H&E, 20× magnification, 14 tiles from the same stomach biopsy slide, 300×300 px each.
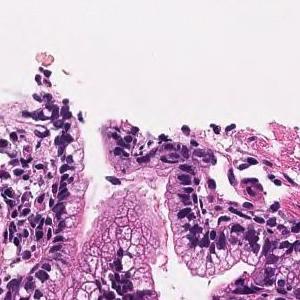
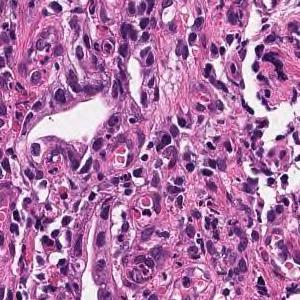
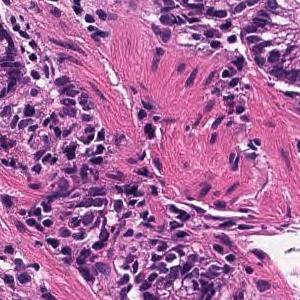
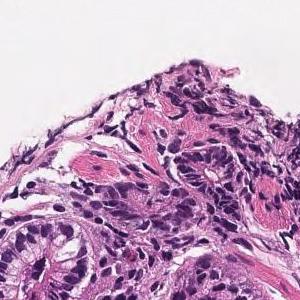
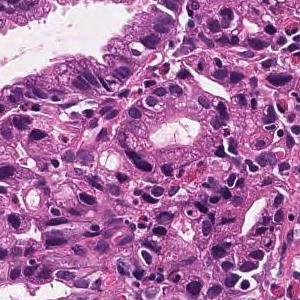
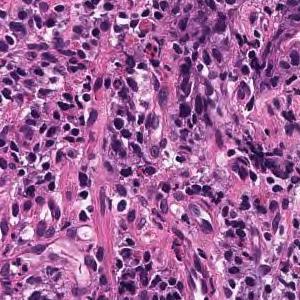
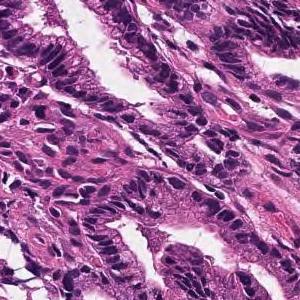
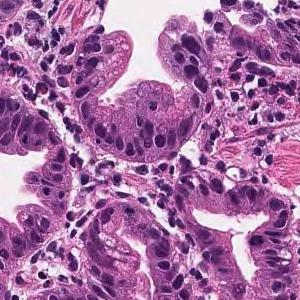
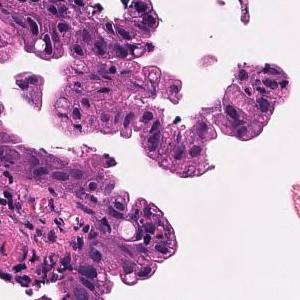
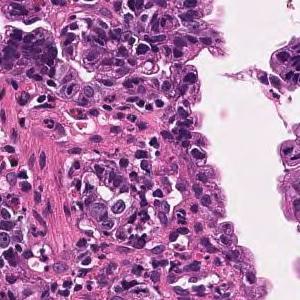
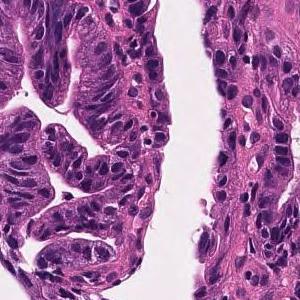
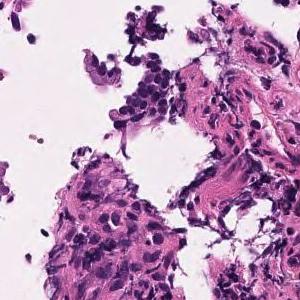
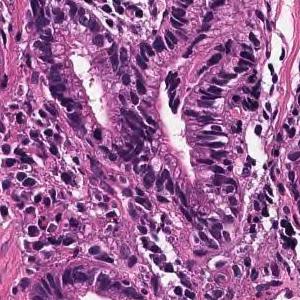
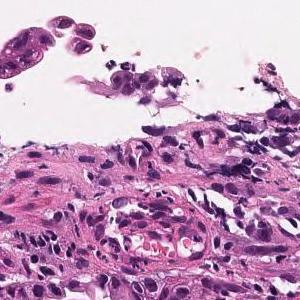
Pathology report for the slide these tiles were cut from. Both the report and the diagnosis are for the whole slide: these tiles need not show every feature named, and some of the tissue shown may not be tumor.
Tumor tissue in which medium to small irregular ducts infiltrate and proliferate in the submucosa can be seen in the epithelium. Well differentiated tubular adenocarcinoma
